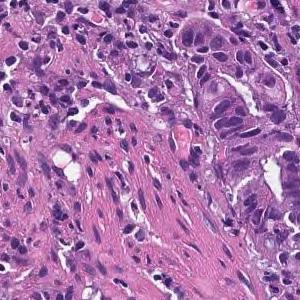
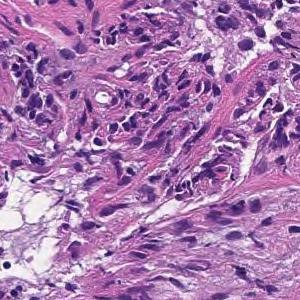
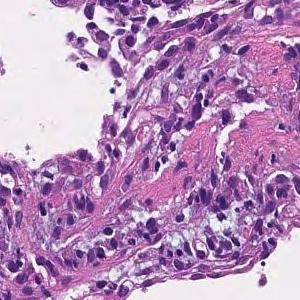
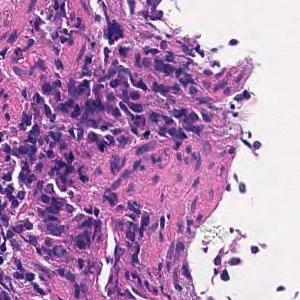
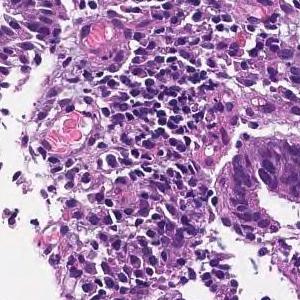
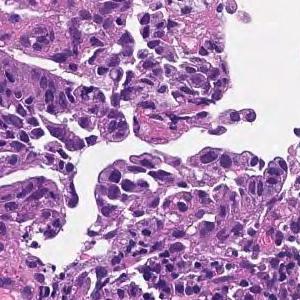
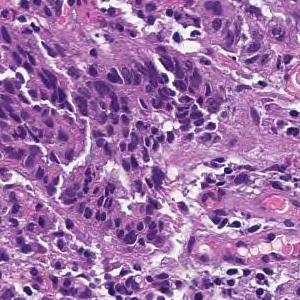
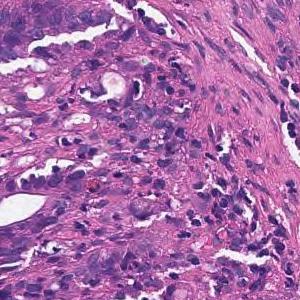
8 image tiles from a single gastric biopsy slide · 300 × 300 pixels each · scanned at ×20 · H&E.
Pathology report for the slide these tiles were cut from. The findings and the diagnosis refer to the entire slide; these tiles show only part of it, possibly with non-tumor tissue, and may not show every feature named.
On the superficial epithelium, tumor tissue consisting of large, irregular glandular ducts partially fused and infiltrated is observed. Well to moderately differentiated tubular adenocarcinoma (well differentiated tubular adenocarcinoma, moderately differentiated tubular adenocarcinoma)
Tumor subtype: well to moderately differentiated tubular adenocarcinoma.
